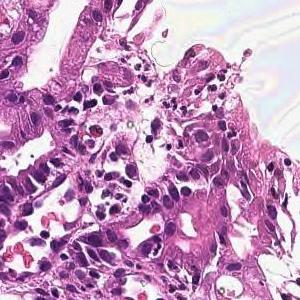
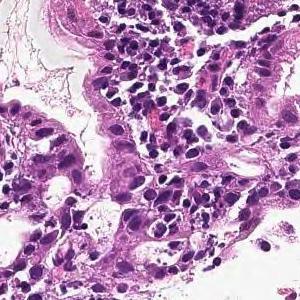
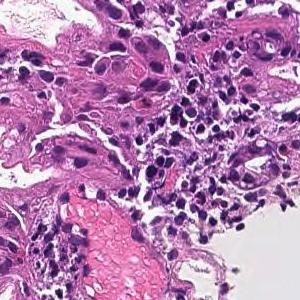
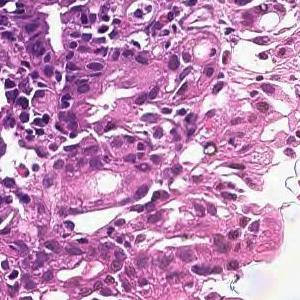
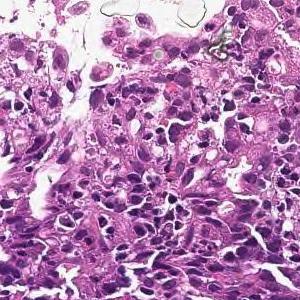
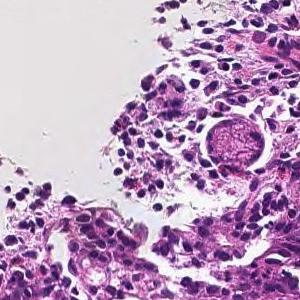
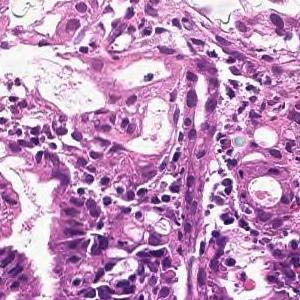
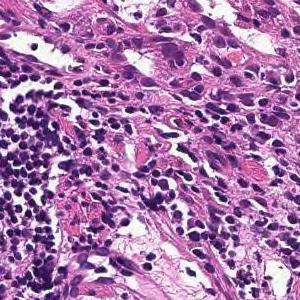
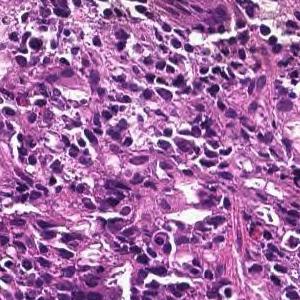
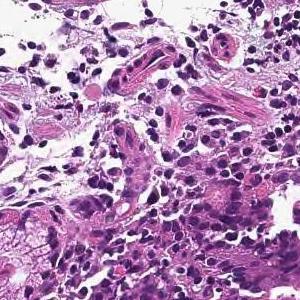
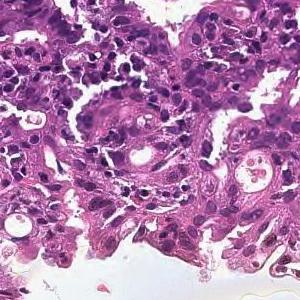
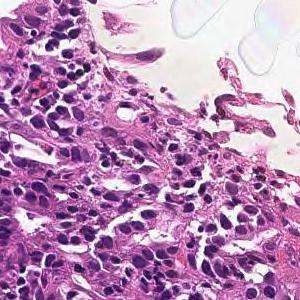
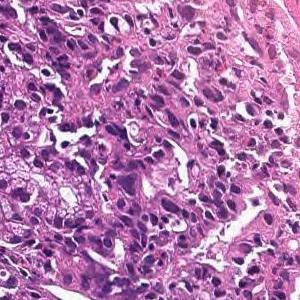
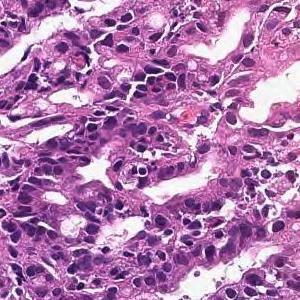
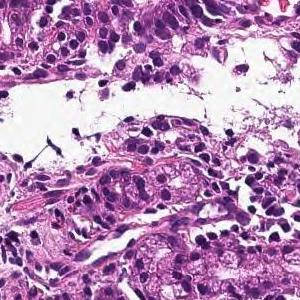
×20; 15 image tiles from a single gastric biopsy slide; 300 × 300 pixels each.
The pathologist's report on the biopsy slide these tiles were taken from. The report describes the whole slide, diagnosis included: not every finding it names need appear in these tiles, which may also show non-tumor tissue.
In the superficial epithelium, tumor tissue that invades by forming medium-sized to small, irregular ducts is observed. moderately differentiated tubular adenocarcinoma.
